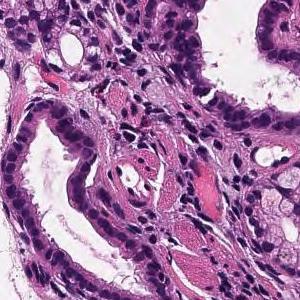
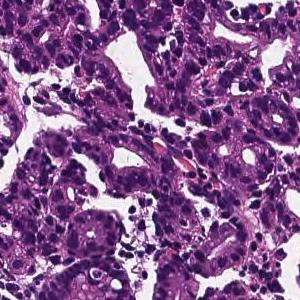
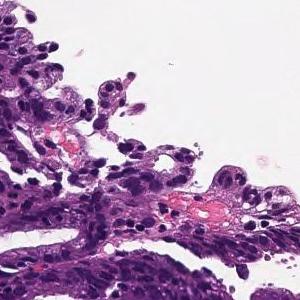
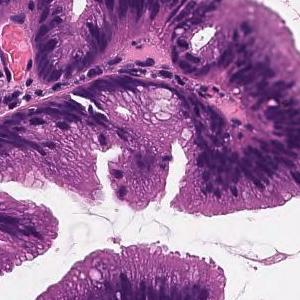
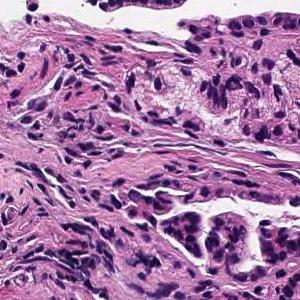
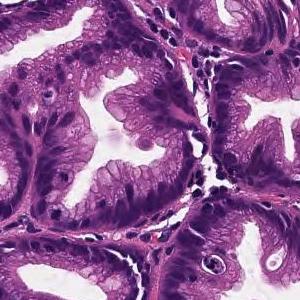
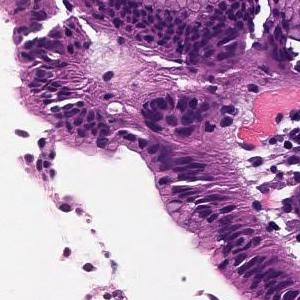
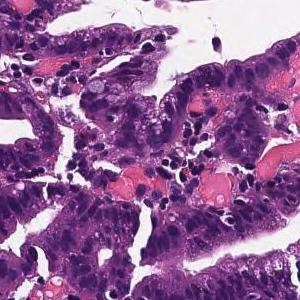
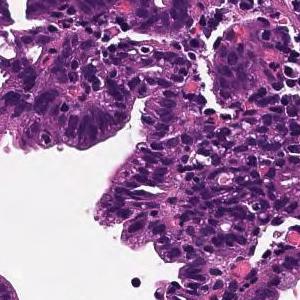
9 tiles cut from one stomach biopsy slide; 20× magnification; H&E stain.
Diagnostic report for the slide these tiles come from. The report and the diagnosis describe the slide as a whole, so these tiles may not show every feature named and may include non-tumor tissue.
Cells with elliptical or atypical nuclei form dense ducts with relatively clear growth. Well differentiated tubular adenocarcinoma
